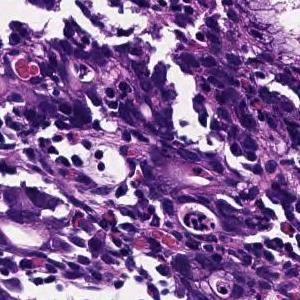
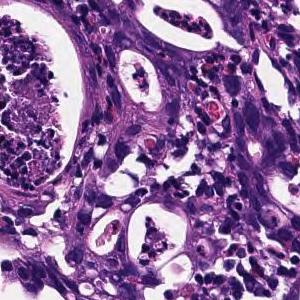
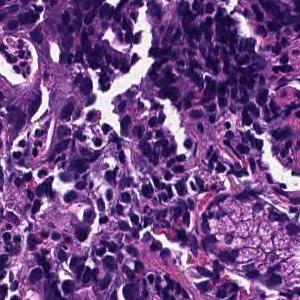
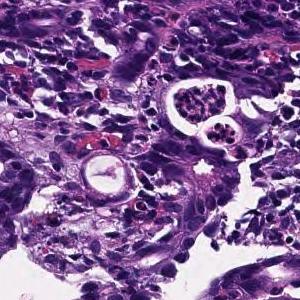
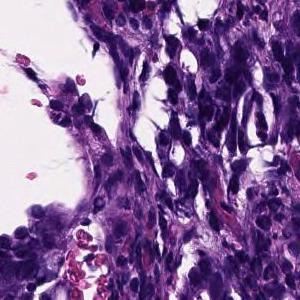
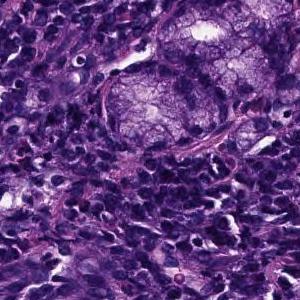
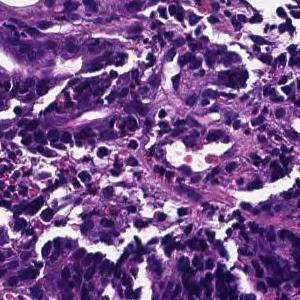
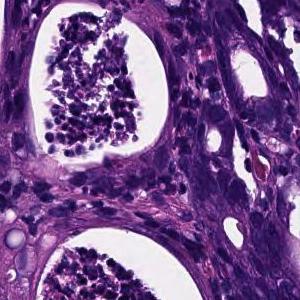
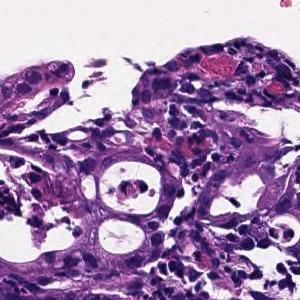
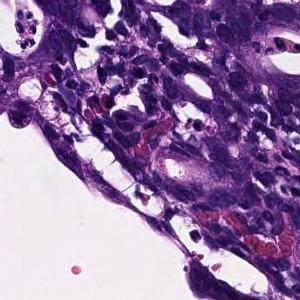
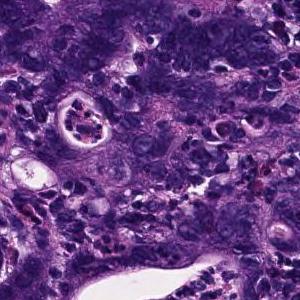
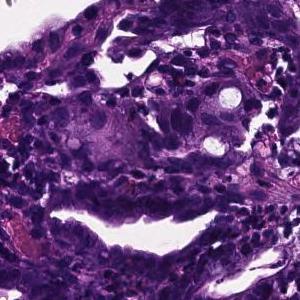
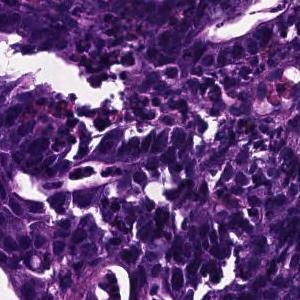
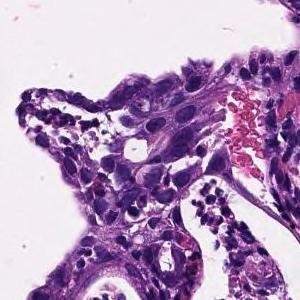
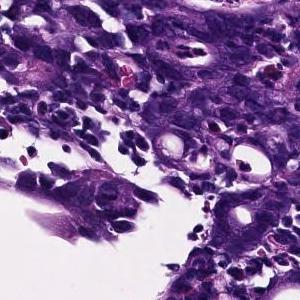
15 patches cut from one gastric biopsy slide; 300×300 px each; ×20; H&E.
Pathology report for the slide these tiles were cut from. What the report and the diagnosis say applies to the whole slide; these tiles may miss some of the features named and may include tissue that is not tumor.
In the superficial epithelium, tumor tissue that invades by forming medium-sized to small, irregular ducts is observed. moderately differentiated tubular adenocarcinoma.
